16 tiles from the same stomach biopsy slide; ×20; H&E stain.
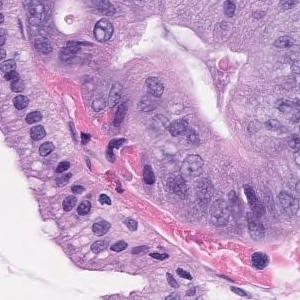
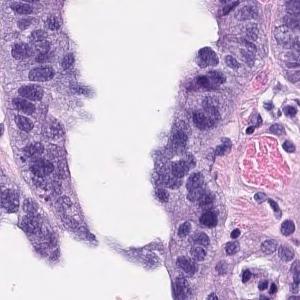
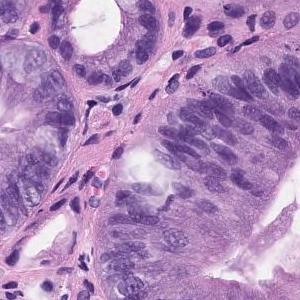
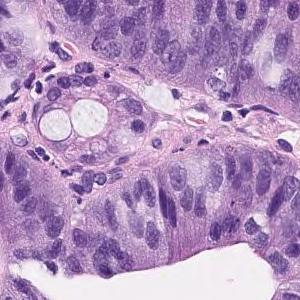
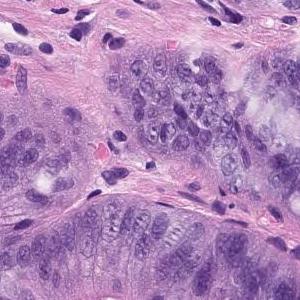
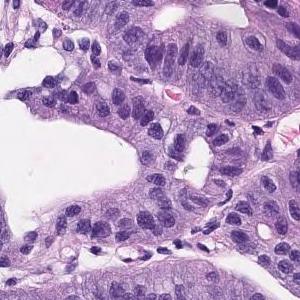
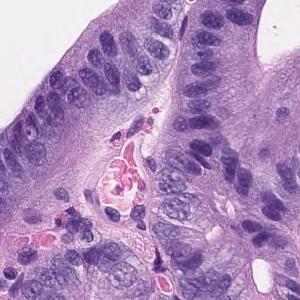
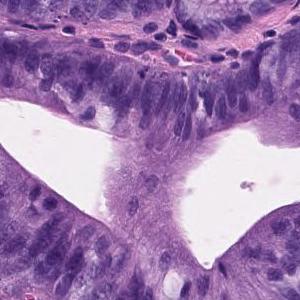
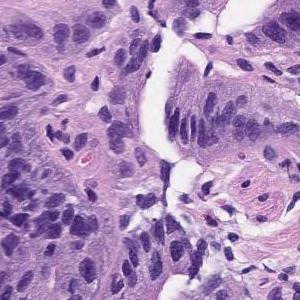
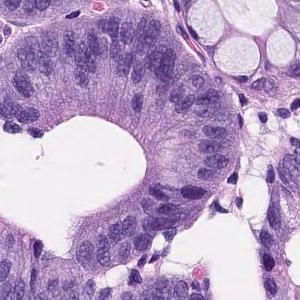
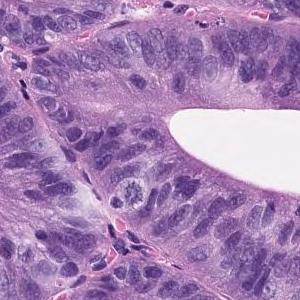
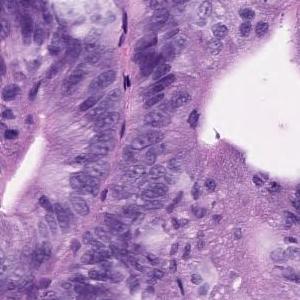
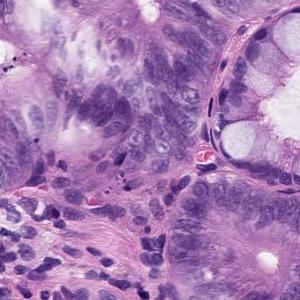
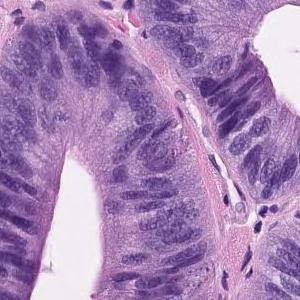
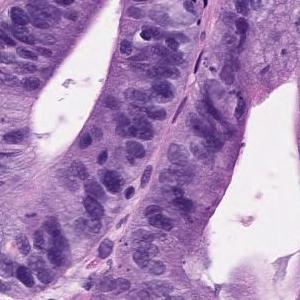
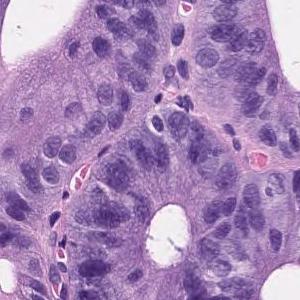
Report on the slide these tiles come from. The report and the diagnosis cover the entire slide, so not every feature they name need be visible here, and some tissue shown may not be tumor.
On the superficial epithelium, tumor tissue consisting of images of atypical ducts of different sizes partially fused and densely proliferating is observed. Well differentiated tubular adenocarcinoma
